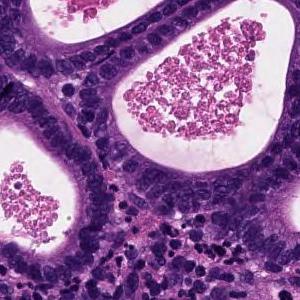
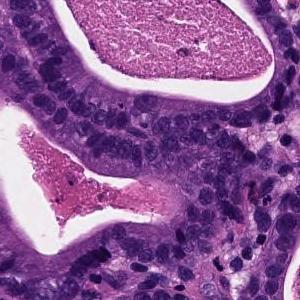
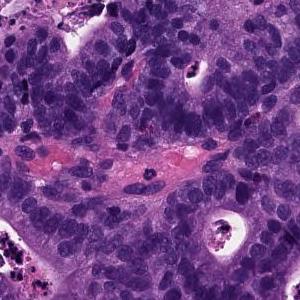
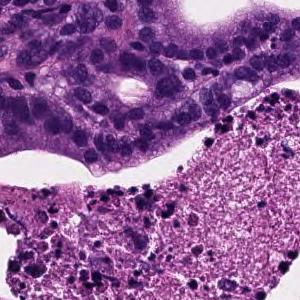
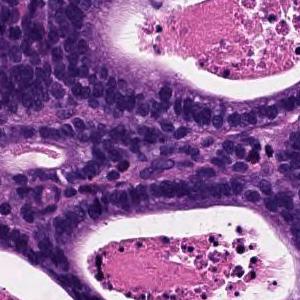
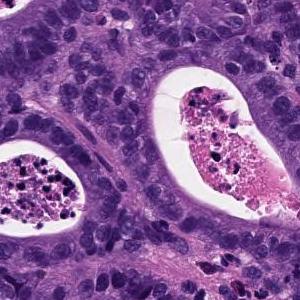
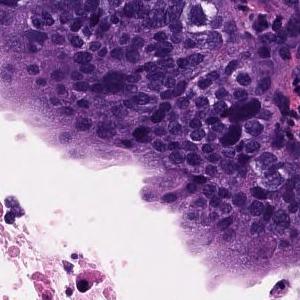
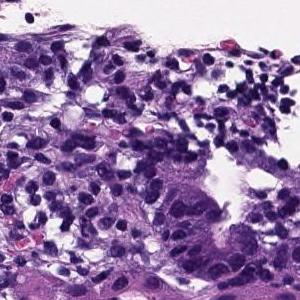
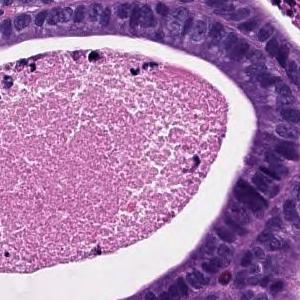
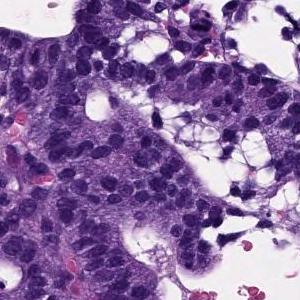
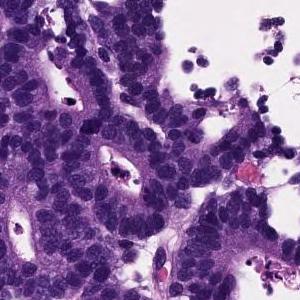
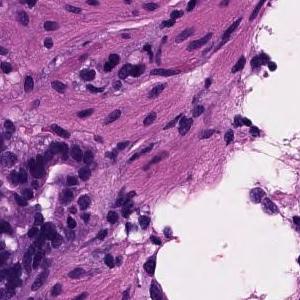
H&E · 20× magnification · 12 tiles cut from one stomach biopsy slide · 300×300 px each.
Report on the slide these tiles come from. The report describes the whole slide, diagnosis included: not every finding it names need appear in these tiles, which may also show non-tumor tissue.
From the superficial epithelium to the muscularis mucosae, tumor tissue consisting of medium-sized and irregular glandular ducts infiltrating is observed. Well differentiated tubular adenocarcinoma
